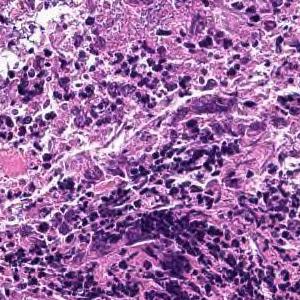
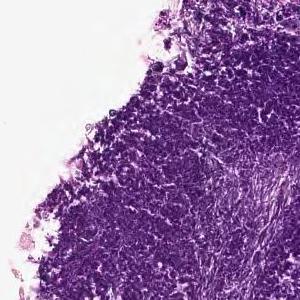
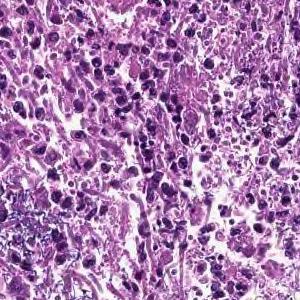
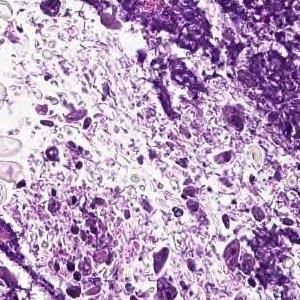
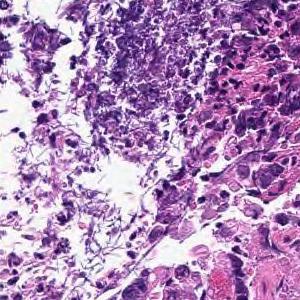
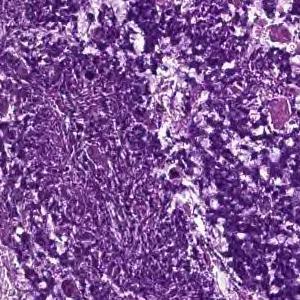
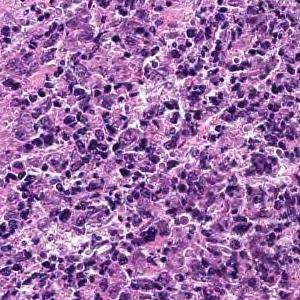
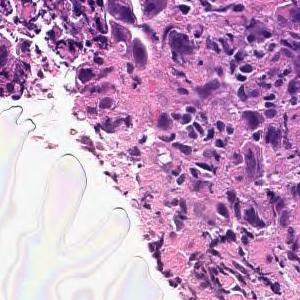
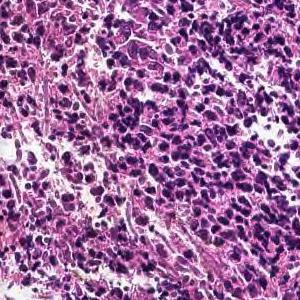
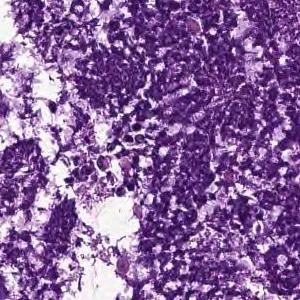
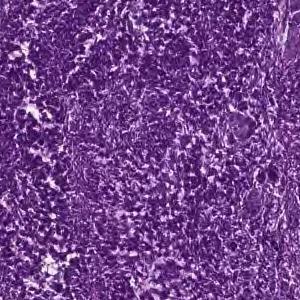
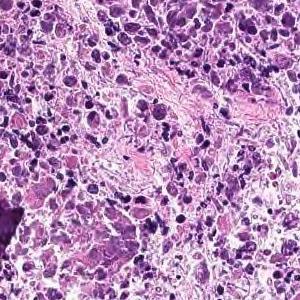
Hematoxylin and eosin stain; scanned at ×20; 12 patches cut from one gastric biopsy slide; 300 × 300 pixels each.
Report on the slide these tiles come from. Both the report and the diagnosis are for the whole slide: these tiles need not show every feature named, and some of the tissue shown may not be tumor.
Cancers with polygonal nuclei do not show glandular formation and are densely, in part, cord-like and proliferate. Poorly differentiated adenocarcinoma
Subtype: Poorly differentiated adenocarcinoma, non-solid type.
"Non-solid type" is a category of the Japanese Classification of Gastric Carcinoma.
